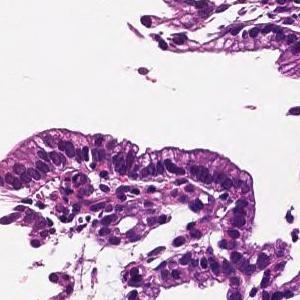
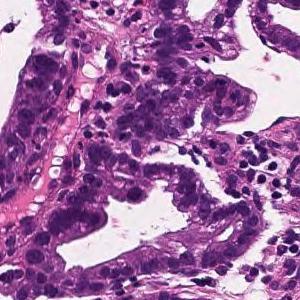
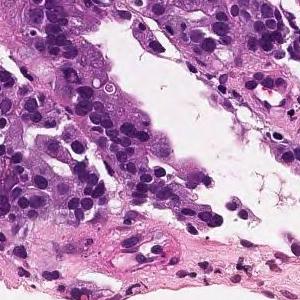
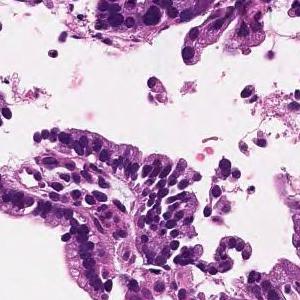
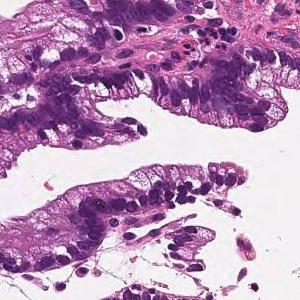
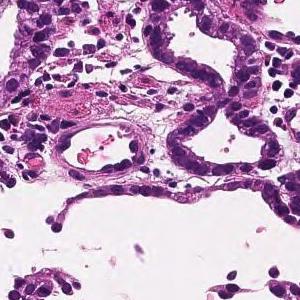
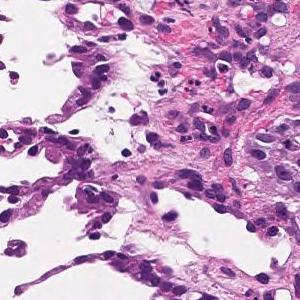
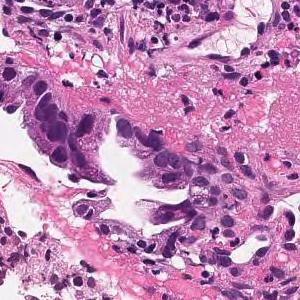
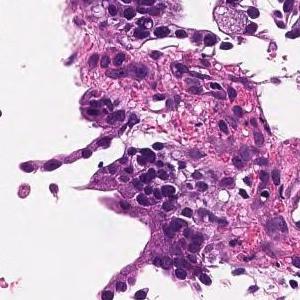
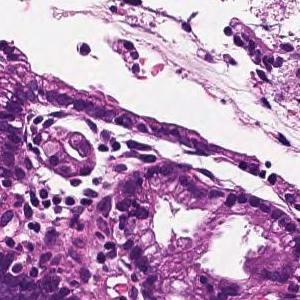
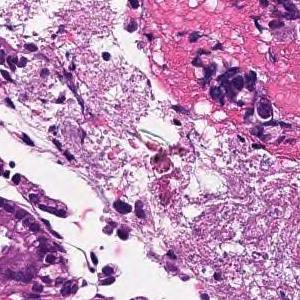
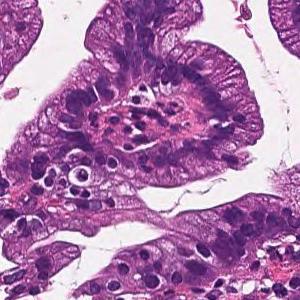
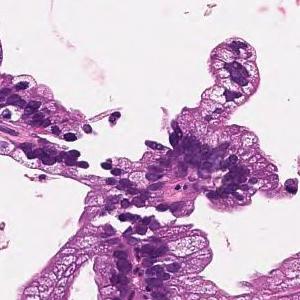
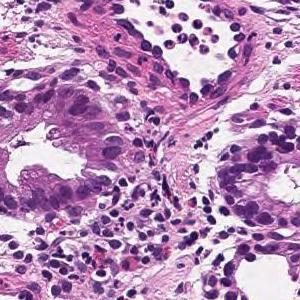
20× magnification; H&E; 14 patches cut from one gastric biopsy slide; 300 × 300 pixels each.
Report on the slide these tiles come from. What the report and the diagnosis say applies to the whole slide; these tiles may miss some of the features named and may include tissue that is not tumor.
On the superficial epithelium, tumor tissue that infiltrates by forming medium-sized papillary or small irregular ducts is observed. Papillary adenocarcinoma
